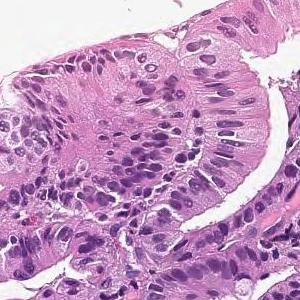
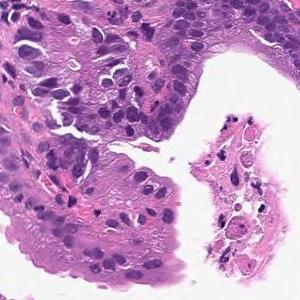
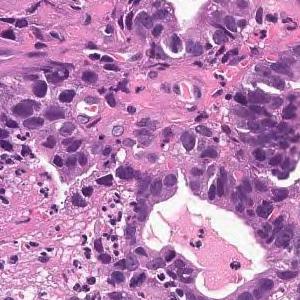
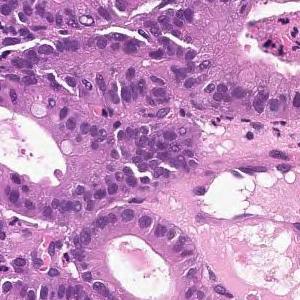
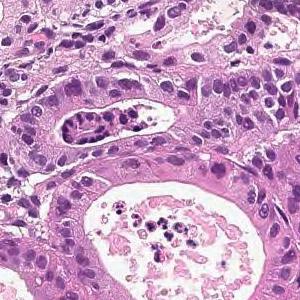
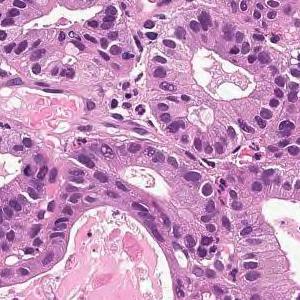
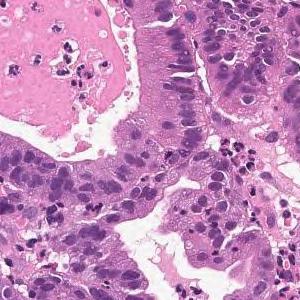
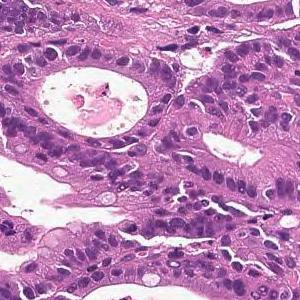
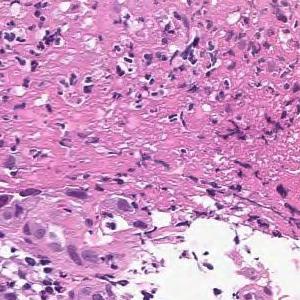
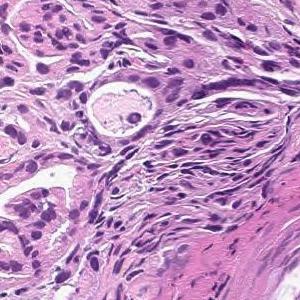
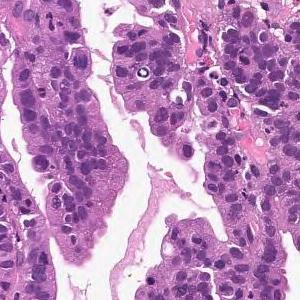
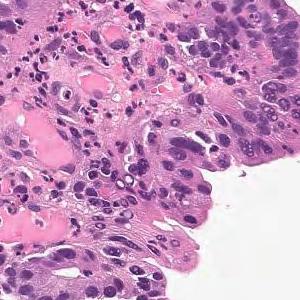
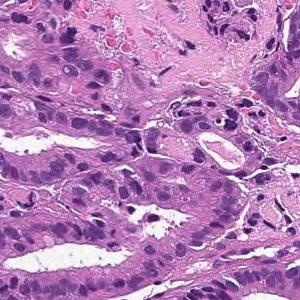
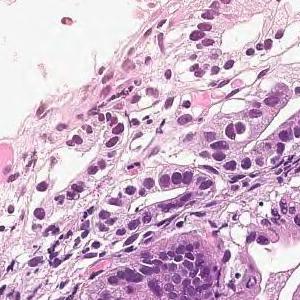
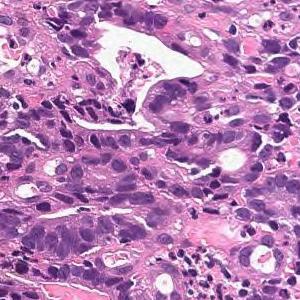
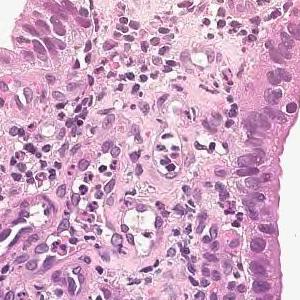
H&E stain · 16 tiles from the same stomach biopsy slide · each 300 × 300 pixels.
Report on the slide these tiles come from. Both the report and the diagnosis are for the whole slide: these tiles need not show every feature named, and some of the tissue shown may not be tumor.
From the superficial epithelium to the muscularis mucosae, tumor tissue consisting of medium-sized and irregular glandular ducts infiltrating is observed. Well differentiated tubular adenocarcinoma
